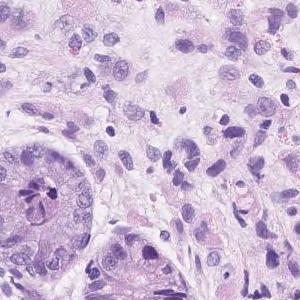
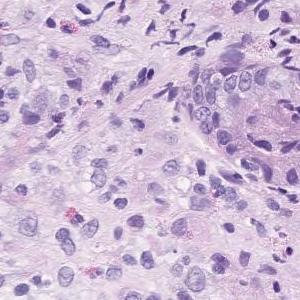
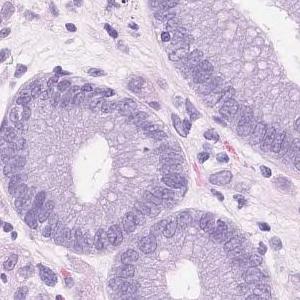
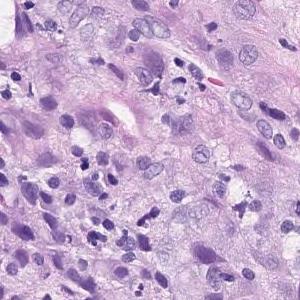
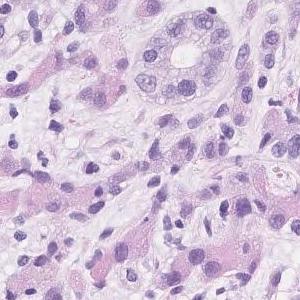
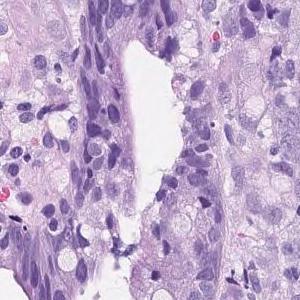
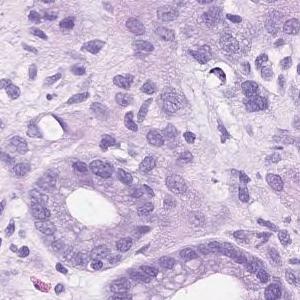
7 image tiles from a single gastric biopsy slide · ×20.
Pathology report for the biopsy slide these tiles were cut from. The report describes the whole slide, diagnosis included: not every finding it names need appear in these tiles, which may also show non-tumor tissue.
Group 5, Adenocarcinoma. Poorly differentiated adenocarcinoma, non-solid type
The term "non-solid type" comes from the Japanese Classification of Gastric Carcinoma.
